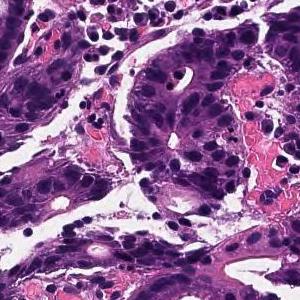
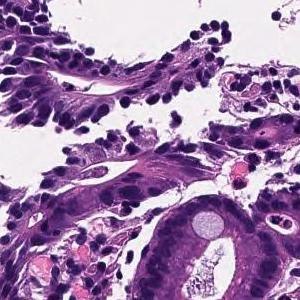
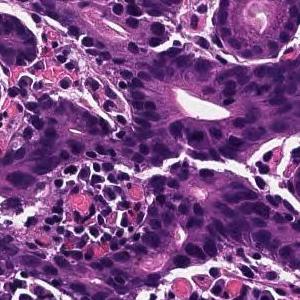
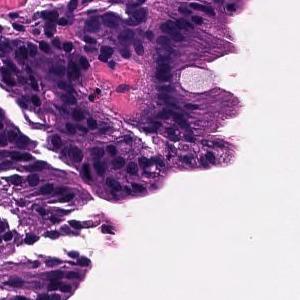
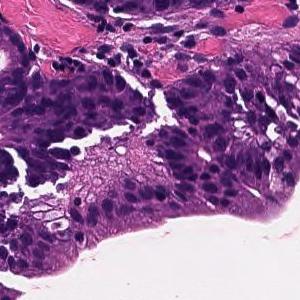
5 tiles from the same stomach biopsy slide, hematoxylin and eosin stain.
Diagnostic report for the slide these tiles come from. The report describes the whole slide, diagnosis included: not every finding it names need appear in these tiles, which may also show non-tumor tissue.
In the superficial epithelium, tumor tissue that invades by forming medium-sized to small, irregular ducts is observed. moderately differentiated tubular adenocarcinoma.
